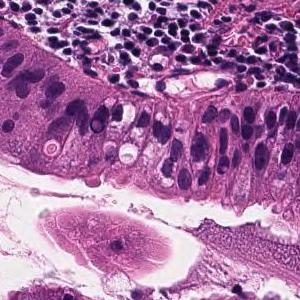
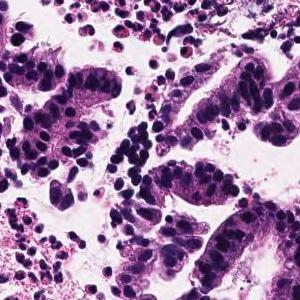
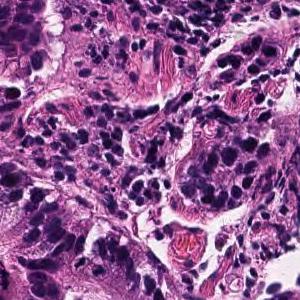
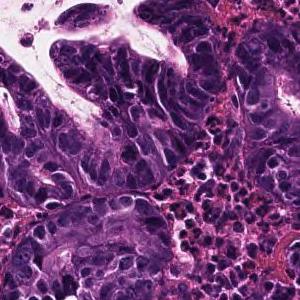
4 tiles cut from one stomach biopsy slide; each 300 × 300 pixels; ×20.
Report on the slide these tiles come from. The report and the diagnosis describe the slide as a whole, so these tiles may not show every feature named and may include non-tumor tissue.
Tumor cells are large, highly columnar, large club-shaped nuclei, and are associated with chromatin aggregation. Papillary adenocarcinoma.
